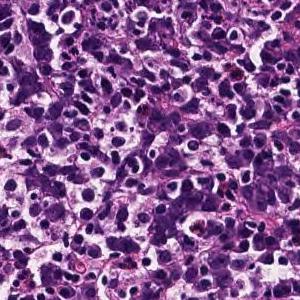
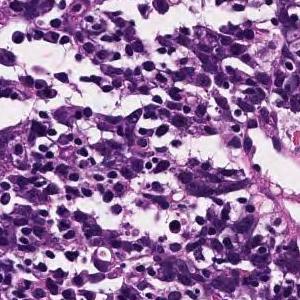
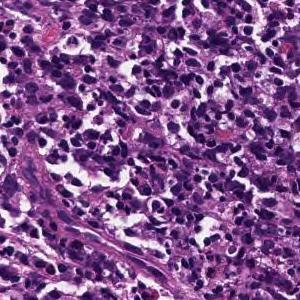
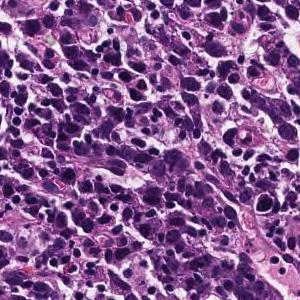
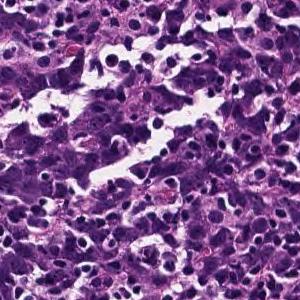
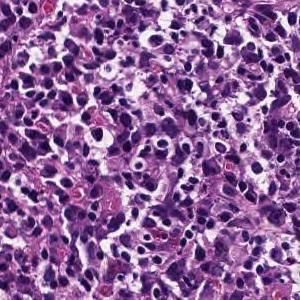
6 tiles from the same stomach biopsy slide.
Report on the slide these tiles come from. The report describes the whole slide, diagnosis included: not every finding it names need appear in these tiles, which may also show non-tumor tissue.
Tumor tissue consisting of cord-like or small, irregular glandular ducts fused and infiltrated is observed in the superficial epithelium. Poorly differentiated adenocarcinoma, non-solid type
The term "non-solid type" comes from the Japanese Classification of Gastric Carcinoma.
